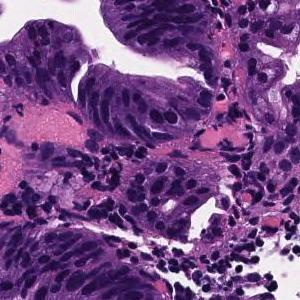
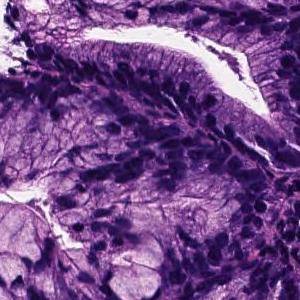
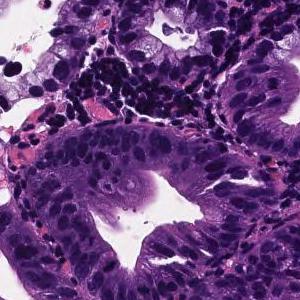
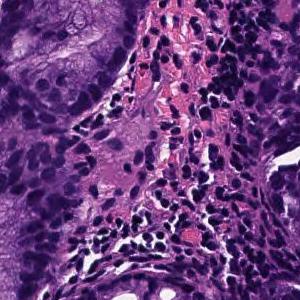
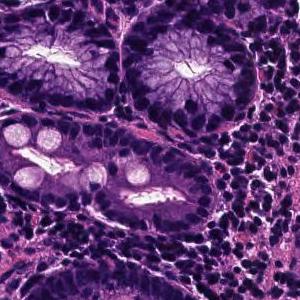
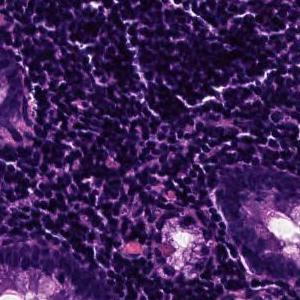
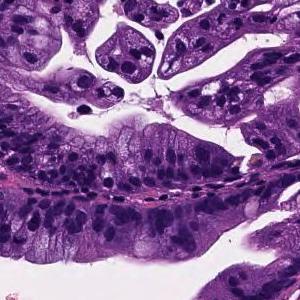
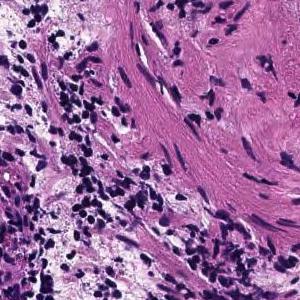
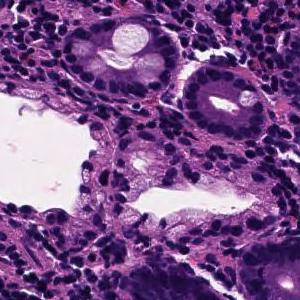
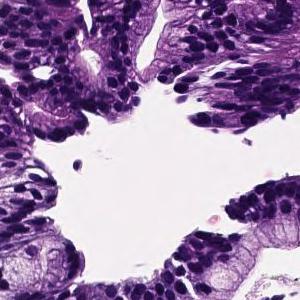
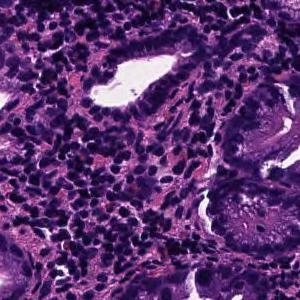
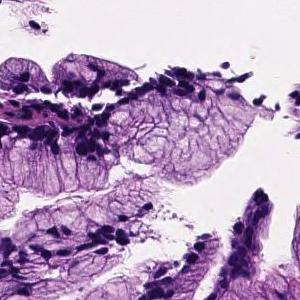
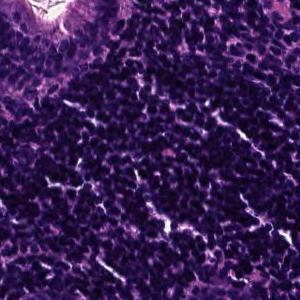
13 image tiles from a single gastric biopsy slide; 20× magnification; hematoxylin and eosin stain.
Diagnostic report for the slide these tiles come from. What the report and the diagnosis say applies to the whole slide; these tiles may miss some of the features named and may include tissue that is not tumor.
On the superficial epithelium, tumor tissue that infiltrates by forming medium-sized papillary or small irregular ducts is observed. Papillary adenocarcinoma
